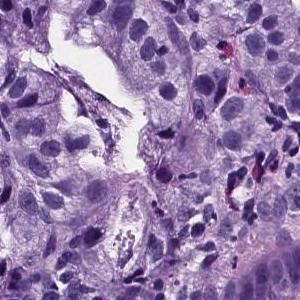
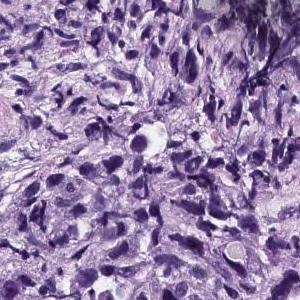
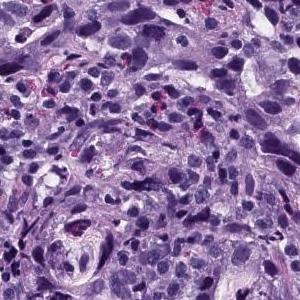
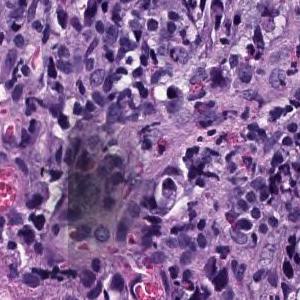
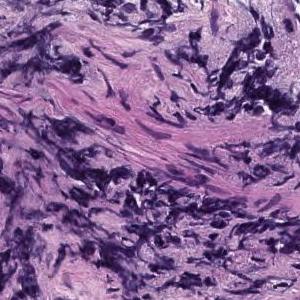
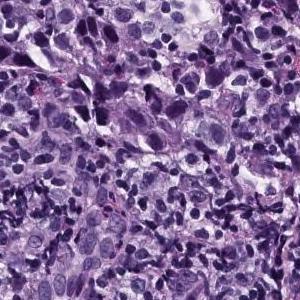
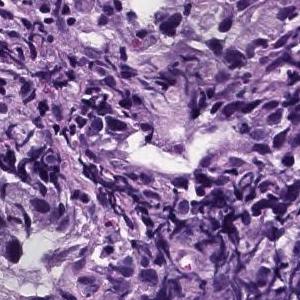
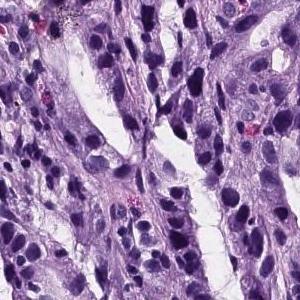
8 tiles from the same stomach biopsy slide · 300×300 px each · 20× magnification · H&E.
Report on the slide these tiles come from. The report and the diagnosis describe the slide as a whole, so these tiles may not show every feature named and may include non-tumor tissue.
Atypical epithelial cells infiltrating and proliferating while forming solid or cord-like fused glandular cavities of different sizes is observed. moderately differentiated tubular adenocarcinoma, poorly differentiated adenocarcinoma.
Histologic type: Moderately to poorly differentiated adenocarcinoma.
